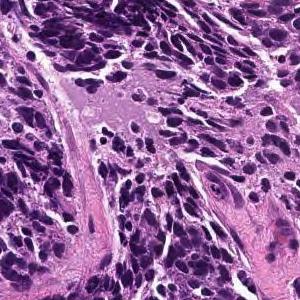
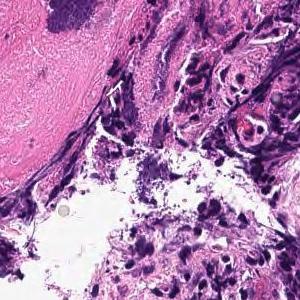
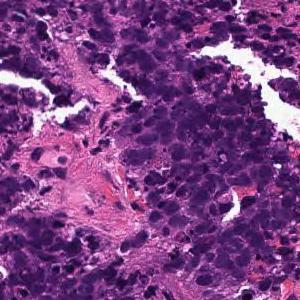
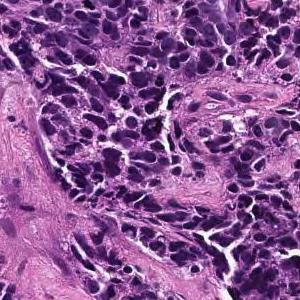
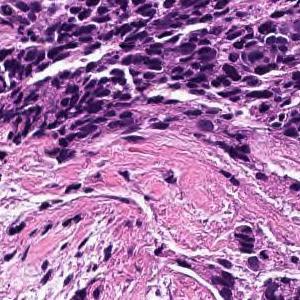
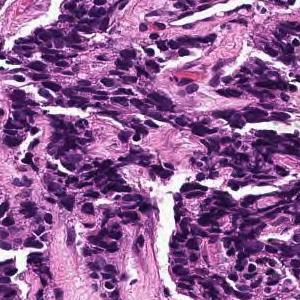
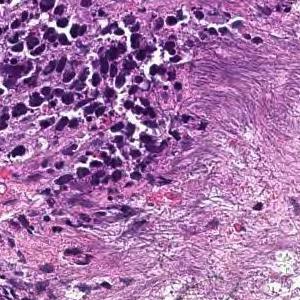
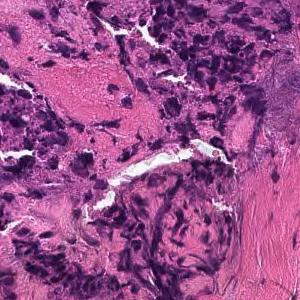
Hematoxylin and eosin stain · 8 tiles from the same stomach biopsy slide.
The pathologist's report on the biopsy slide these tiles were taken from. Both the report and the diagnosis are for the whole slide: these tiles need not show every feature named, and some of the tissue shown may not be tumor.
The superficial epithelium shows a large sheet or alveolar shape, and tumor tissue infiltrating without irregular ducts is observed. Poorly differentiated adenocarcinoma, solid-type
Subtype: Poorly differentiated adenocarcinoma, solid type (Japanese Classification of Gastric Carcinoma). The WHO 2019 equivalent is tubular adenocarcinoma, poorly differentiated.
